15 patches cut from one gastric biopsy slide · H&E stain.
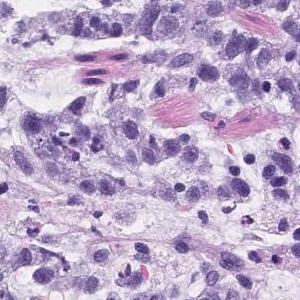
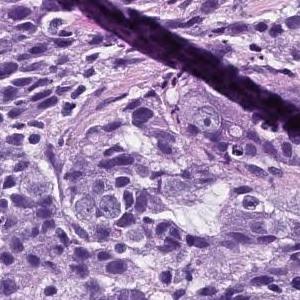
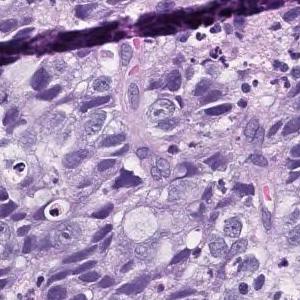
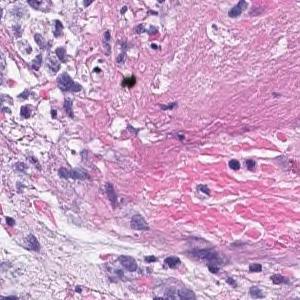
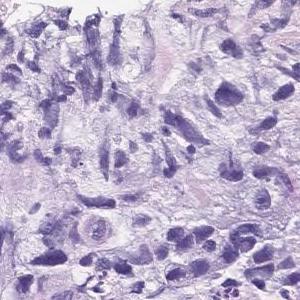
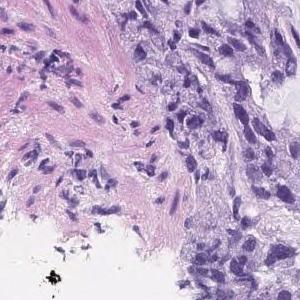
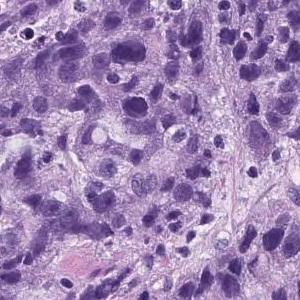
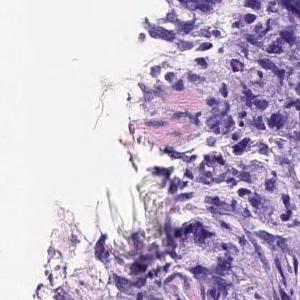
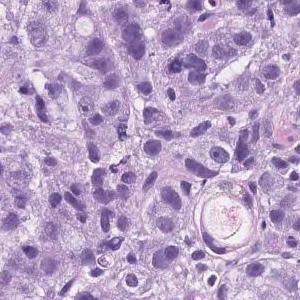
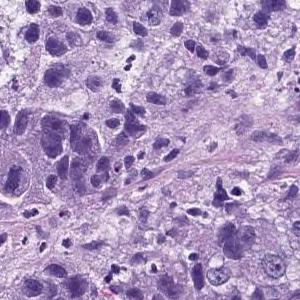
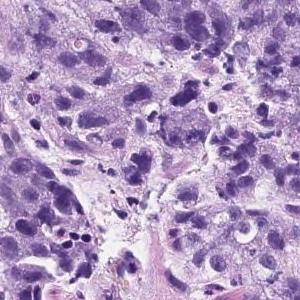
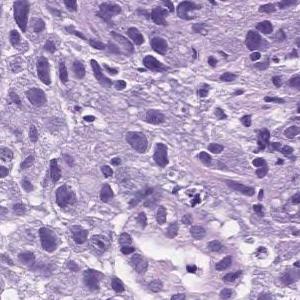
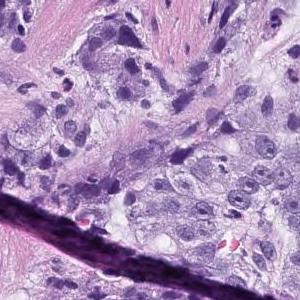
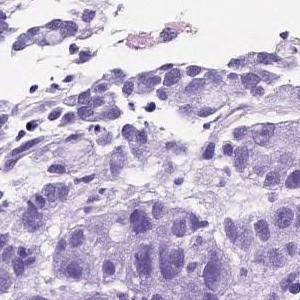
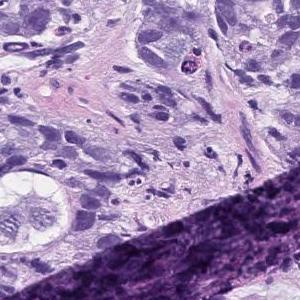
Pathology report for the biopsy slide these tiles were cut from. Both the report and the diagnosis are for the whole slide: these tiles need not show every feature named, and some of the tissue shown may not be tumor.
Atypical l cells with atypical nuclei forming solid vesicles or small irregular atypical ducts that proliferate in a complex manner. poorly differentiated adenocarcinoma, solid type, moderately differentiated tubular adenocarcinoma
"Solid type" is a category of the Japanese Classification of Gastric Carcinoma; in the WHO 2019 classification it is tubular adenocarcinoma, poorly differentiated.
